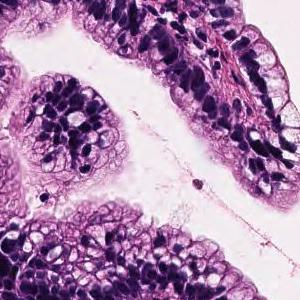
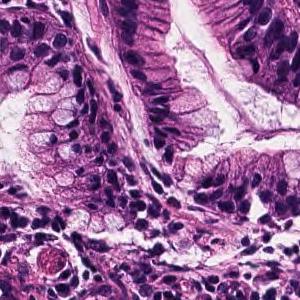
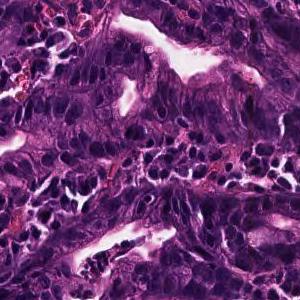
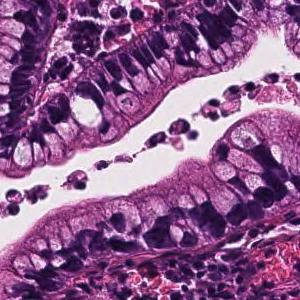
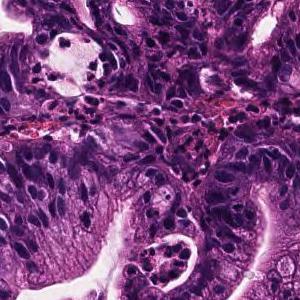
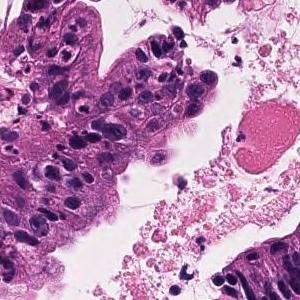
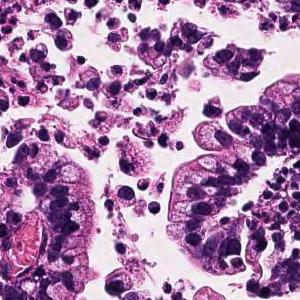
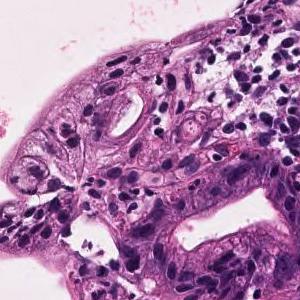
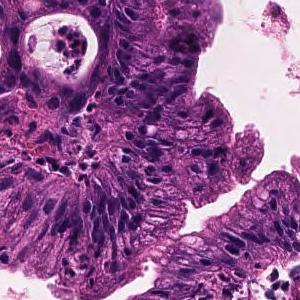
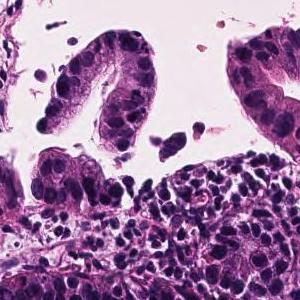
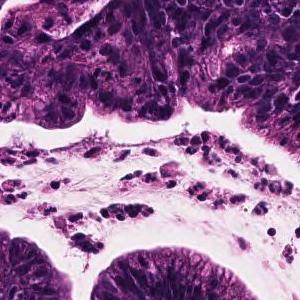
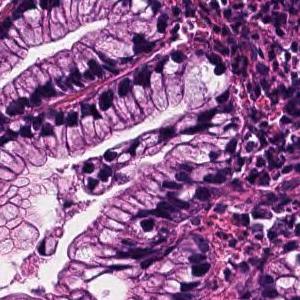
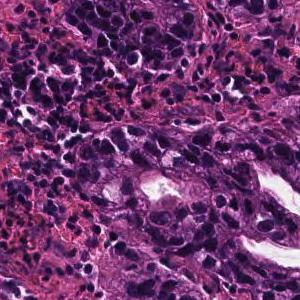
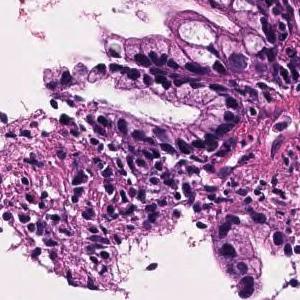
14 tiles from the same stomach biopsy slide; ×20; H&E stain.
Pathology report for the biopsy slide these tiles were cut from. The findings and the diagnosis refer to the entire slide; these tiles show only part of it, possibly with non-tumor tissue, and may not show every feature named.
Tumor cells are large, highly columnar, large club-shaped nuclei, and are associated with chromatin aggregation. Papillary adenocarcinoma.
